4 image tiles from a single gastric biopsy slide, each 300 × 300 pixels, H&E stain, 20× magnification.
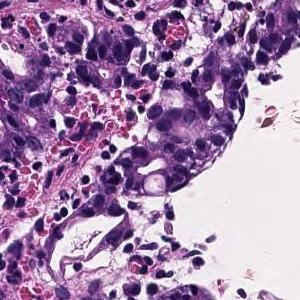
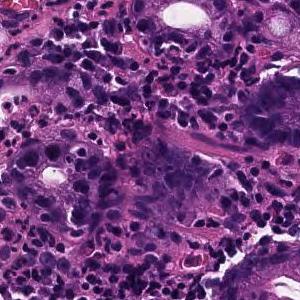
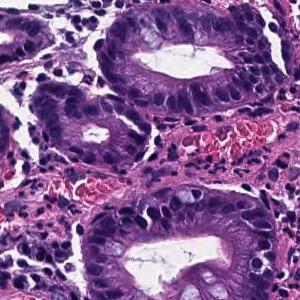
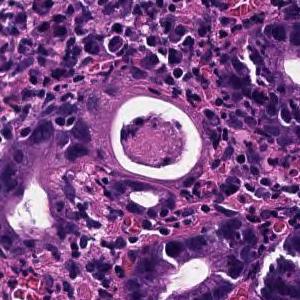
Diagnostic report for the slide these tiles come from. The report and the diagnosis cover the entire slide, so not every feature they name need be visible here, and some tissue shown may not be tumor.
In the superficial epithelium, tumor tissue that invades by forming medium-sized to small, irregular ducts is observed. moderately differentiated tubular adenocarcinoma.
